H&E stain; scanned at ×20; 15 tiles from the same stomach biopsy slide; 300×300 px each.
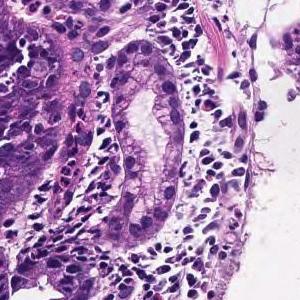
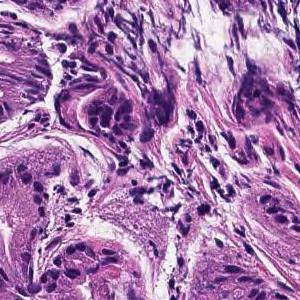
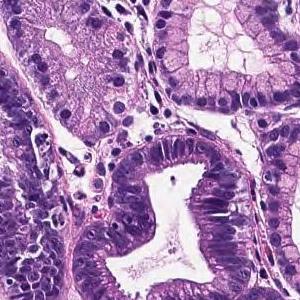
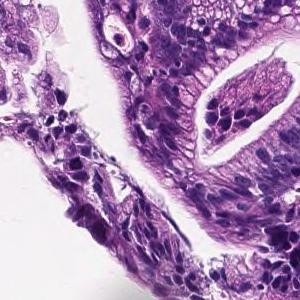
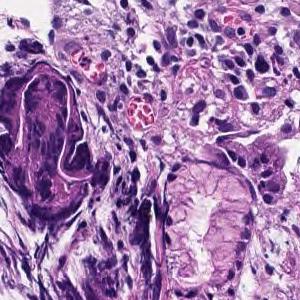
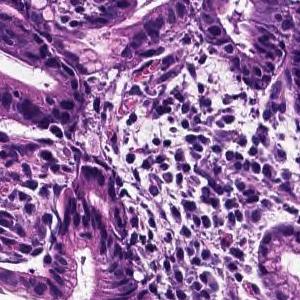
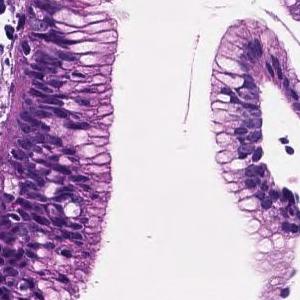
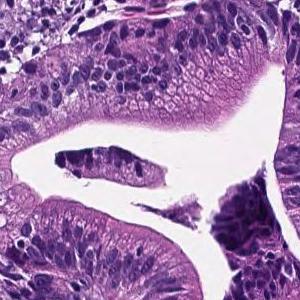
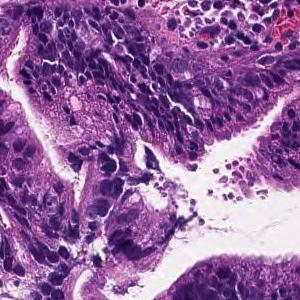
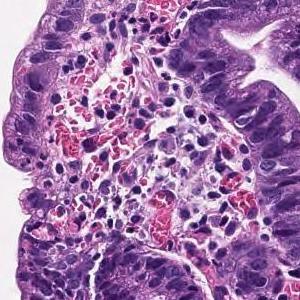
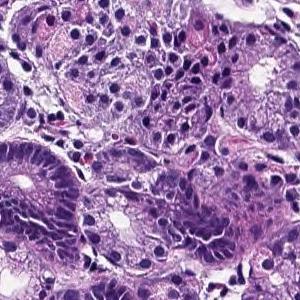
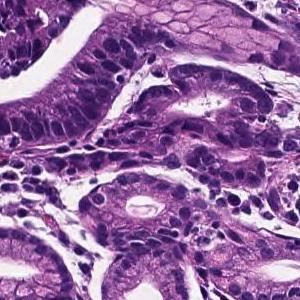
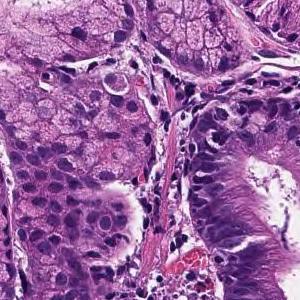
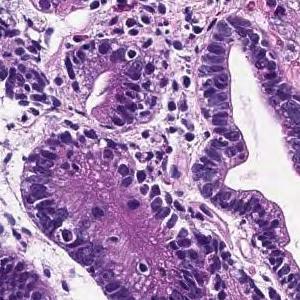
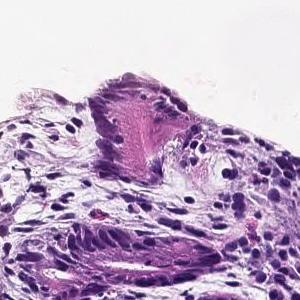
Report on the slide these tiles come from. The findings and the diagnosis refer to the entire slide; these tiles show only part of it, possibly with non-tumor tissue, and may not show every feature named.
From the superficial epithelium to the muscularis mucosae, tumor tissue consisting of medium-sized and irregular glandular ducts infiltrating is observed. Well differentiated tubular adenocarcinoma
